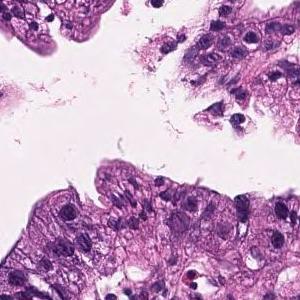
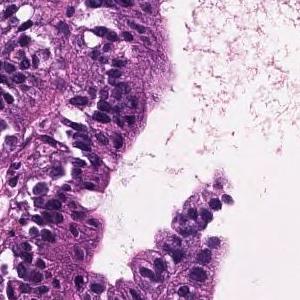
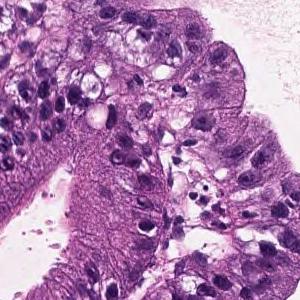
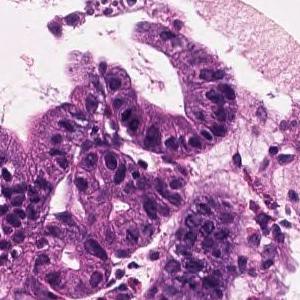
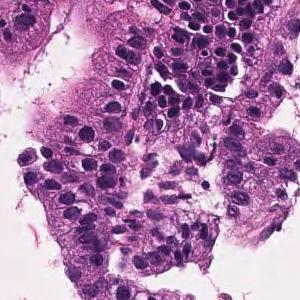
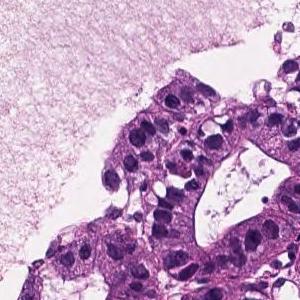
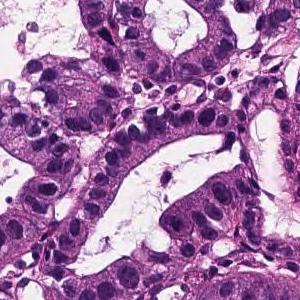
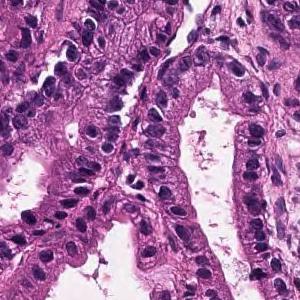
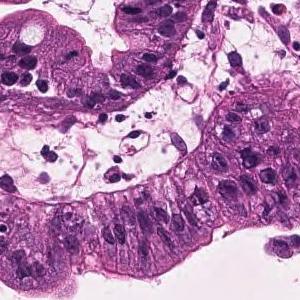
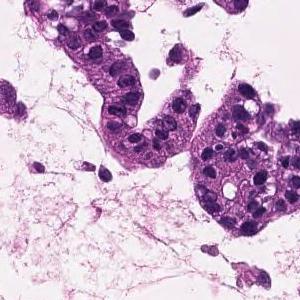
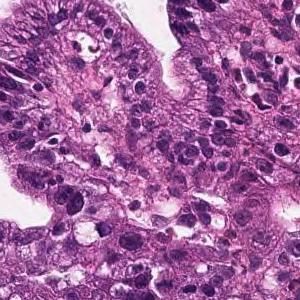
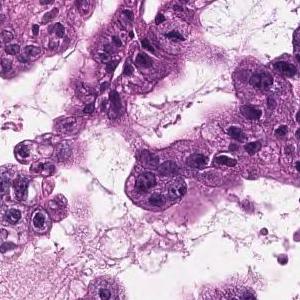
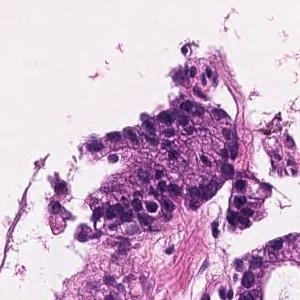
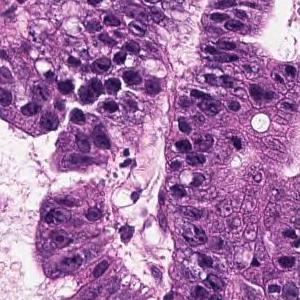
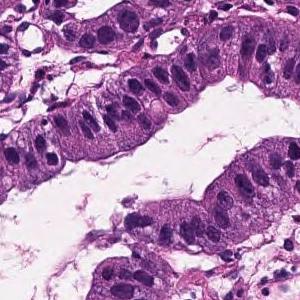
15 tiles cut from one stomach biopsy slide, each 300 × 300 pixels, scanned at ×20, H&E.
Report on the slide these tiles come from. The report and the diagnosis cover the entire slide, so not every feature they name need be visible here, and some tissue shown may not be tumor.
On the superficial epithelium, tumor tissue that infiltrates by forming medium-sized papillary or small irregular ducts is observed. Papillary adenocarcinoma
